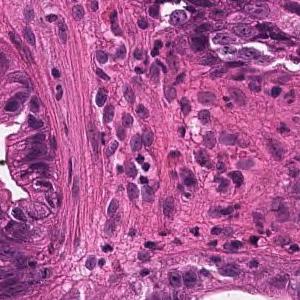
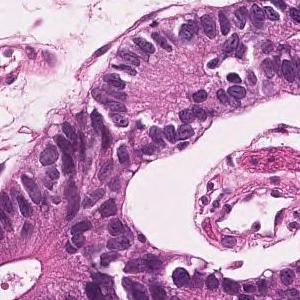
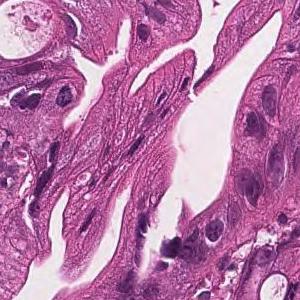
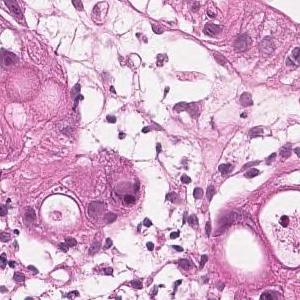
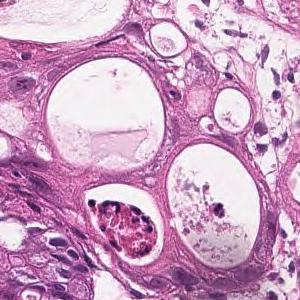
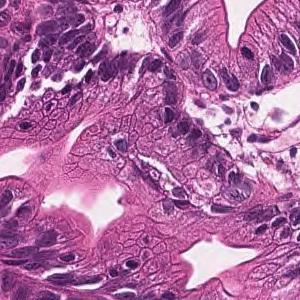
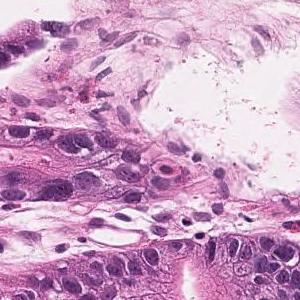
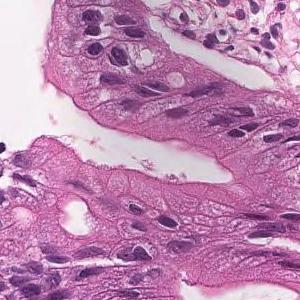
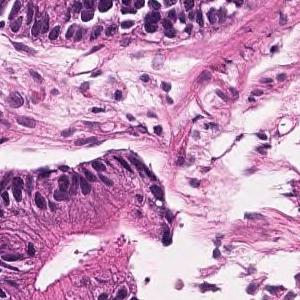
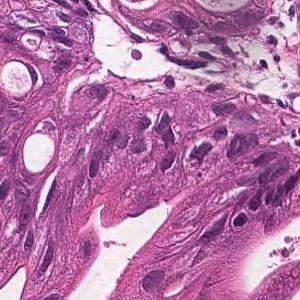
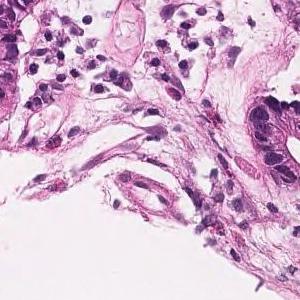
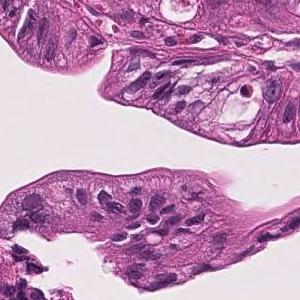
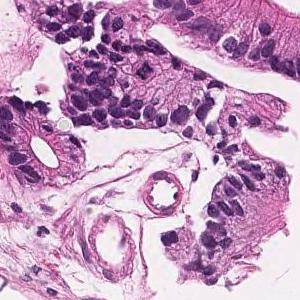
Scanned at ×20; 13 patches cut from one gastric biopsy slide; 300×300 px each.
The pathologist's report on the biopsy slide these tiles were taken from. The report and the diagnosis cover the entire slide, so not every feature they name need be visible here, and some tissue shown may not be tumor.
On the superficial epithelium, tumor tissue that infiltrates by forming medium-sized papillary or small irregular ducts is observed. Papillary adenocarcinoma
